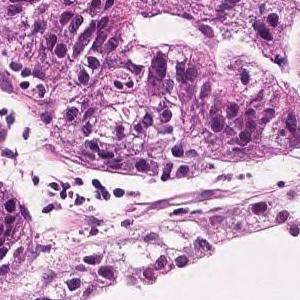
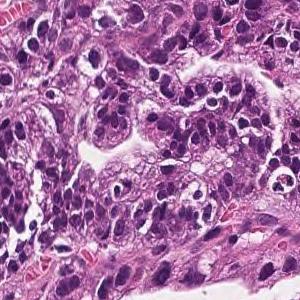
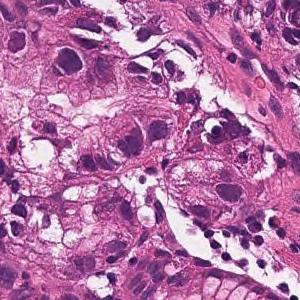
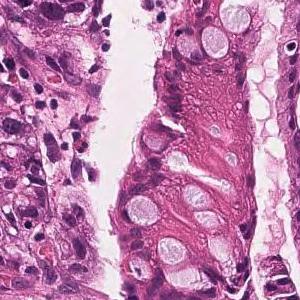
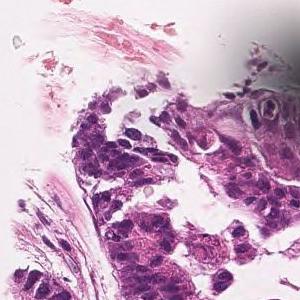
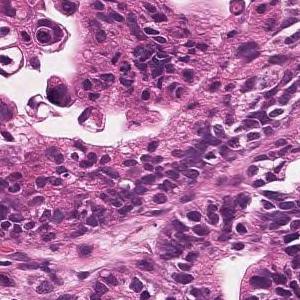
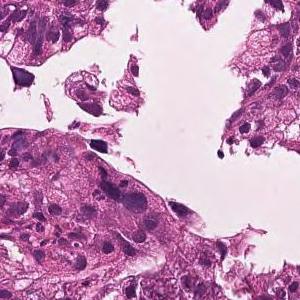
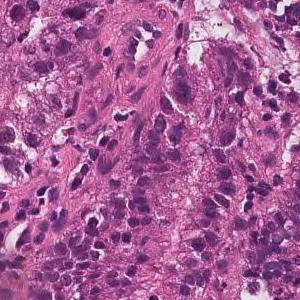
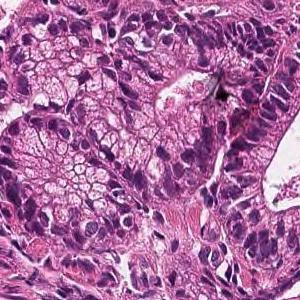
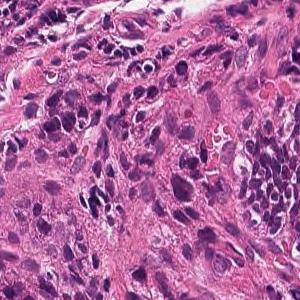
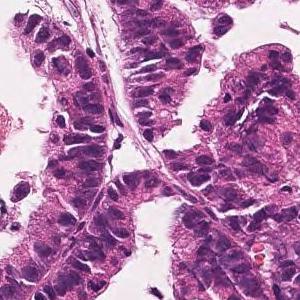
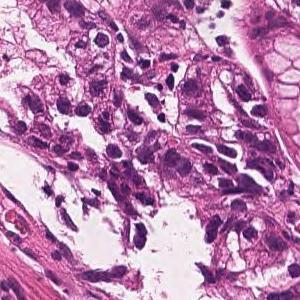
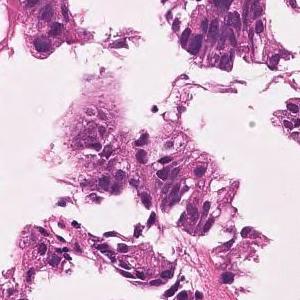
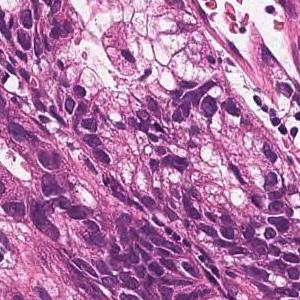
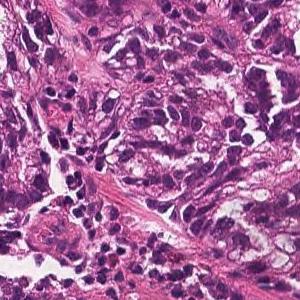
15 tiles cut from one stomach biopsy slide · each 300 × 300 pixels · hematoxylin and eosin stain.
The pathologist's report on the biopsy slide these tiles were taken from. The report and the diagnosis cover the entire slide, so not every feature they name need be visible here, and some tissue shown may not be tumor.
On the superficial epithelium, tumor tissue consisting of large, irregular glandular ducts partially fused and infiltrated is observed. Well to moderately differentiated tubular adenocarcinoma (well differentiated tubular adenocarcinoma, moderately differentiated tubular adenocarcinoma)
Subtype: Well to moderately differentiated tubular adenocarcinoma.
